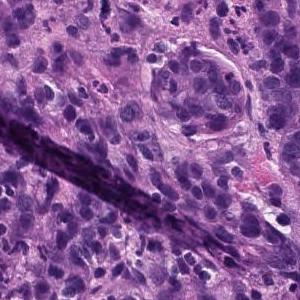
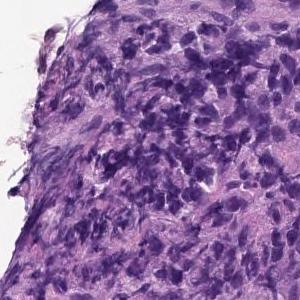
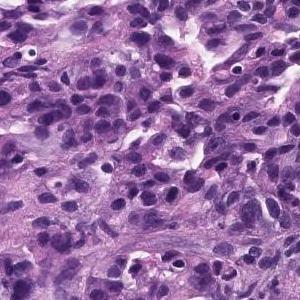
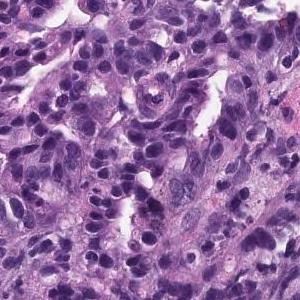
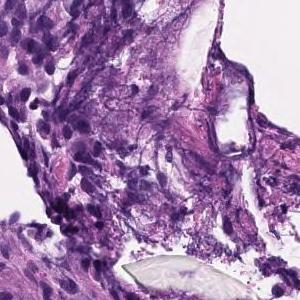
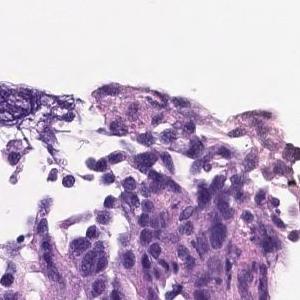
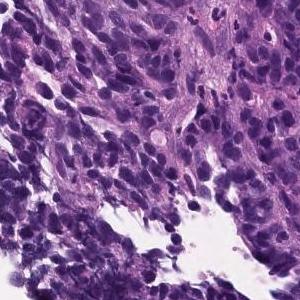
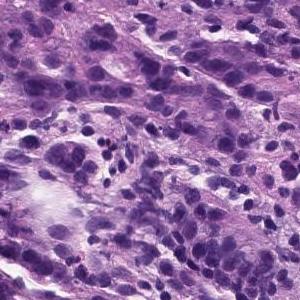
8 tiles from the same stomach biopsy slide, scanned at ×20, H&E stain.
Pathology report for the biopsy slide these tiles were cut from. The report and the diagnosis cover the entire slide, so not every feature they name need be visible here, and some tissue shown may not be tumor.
Group 5, Adenocarcinoma. Poorly differentiated adenocarcinoma, non-solid type
"Non-solid type" is a category of the Japanese Classification of Gastric Carcinoma.
